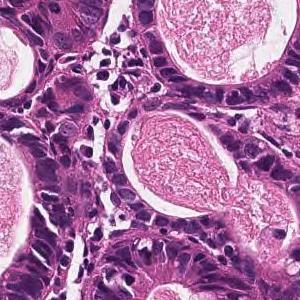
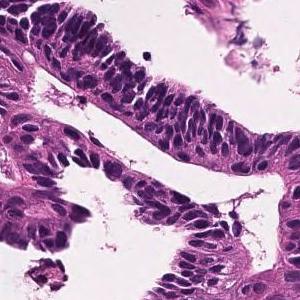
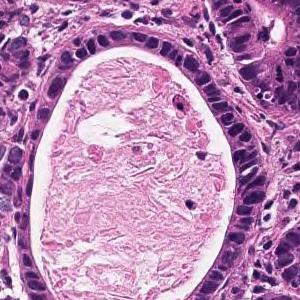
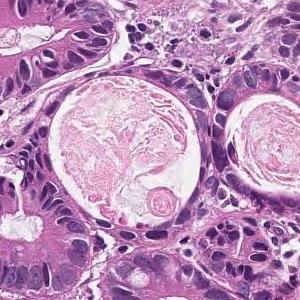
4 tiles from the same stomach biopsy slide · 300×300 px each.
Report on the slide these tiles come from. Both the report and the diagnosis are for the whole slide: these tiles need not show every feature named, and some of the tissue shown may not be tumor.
In the superficial epithelium, tumor tissue that invades by forming medium-sized to small, irregular ducts is observed. Well differentiated tubular adenocarcinoma.
